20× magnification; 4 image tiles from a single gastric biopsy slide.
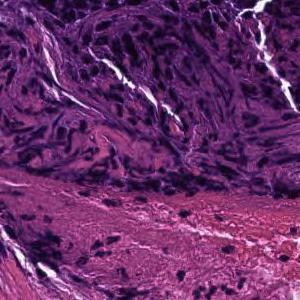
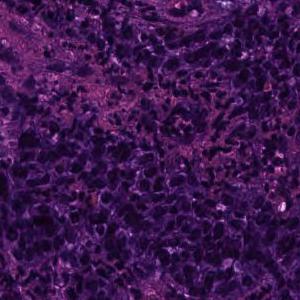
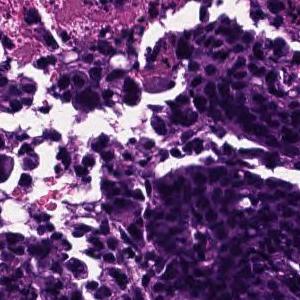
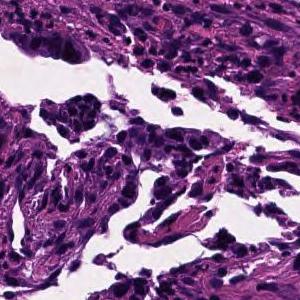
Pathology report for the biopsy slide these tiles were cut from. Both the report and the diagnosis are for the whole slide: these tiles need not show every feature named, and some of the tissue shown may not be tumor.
In the superficial epithelium, tumor tissue that invades by forming medium-sized to small, irregular ducts is observed. moderately differentiated tubular adenocarcinoma.
